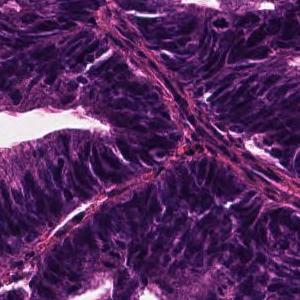
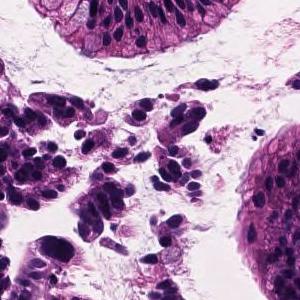
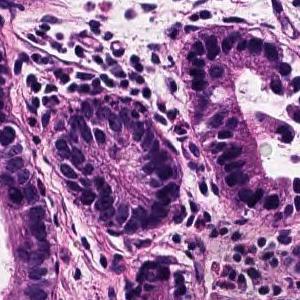
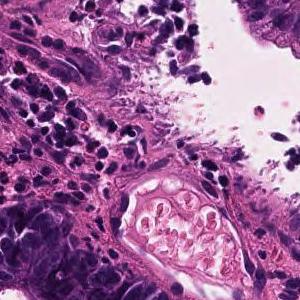
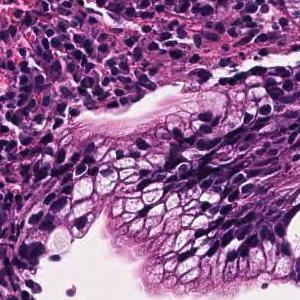
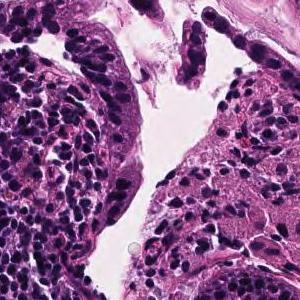
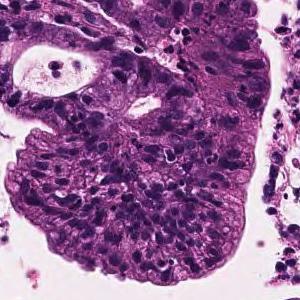
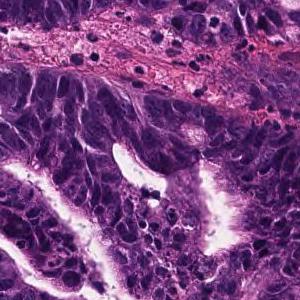
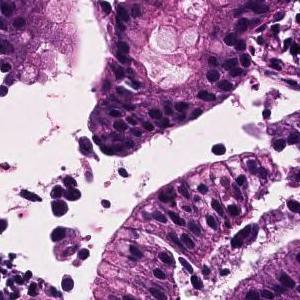
9 patches cut from one gastric biopsy slide, 300 × 300 pixels each, hematoxylin and eosin stain, scanned at ×20.
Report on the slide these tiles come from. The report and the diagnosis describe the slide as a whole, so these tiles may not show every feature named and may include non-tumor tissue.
Tumor cells are large, highly columnar, large club-shaped nuclei, and are associated with chromatin aggregation. Papillary adenocarcinoma.
